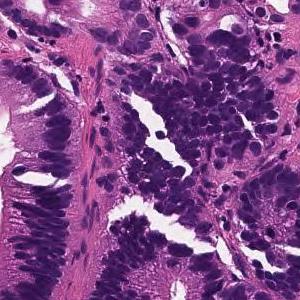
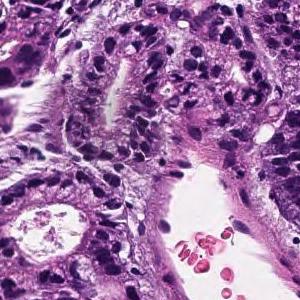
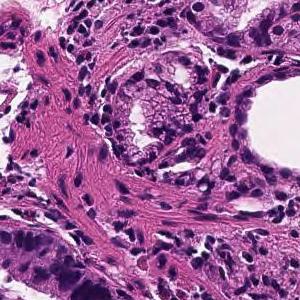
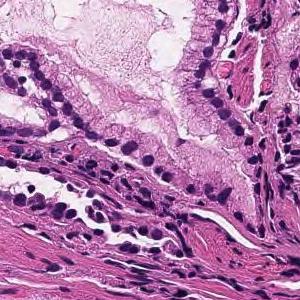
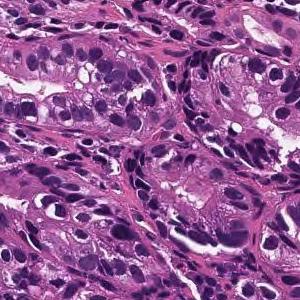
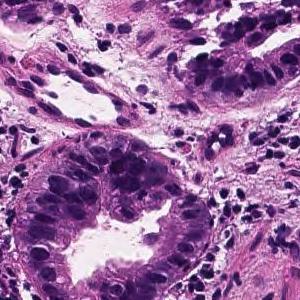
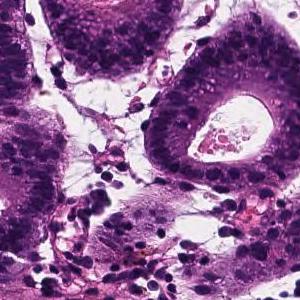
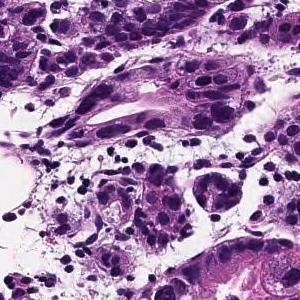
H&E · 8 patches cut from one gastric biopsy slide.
Report on the slide these tiles come from. The report and the diagnosis cover the entire slide, so not every feature they name need be visible here, and some tissue shown may not be tumor.
From the superficial epithelium to the muscularis mucosae, tumor tissue consisting of medium-sized and irregular glandular ducts infiltrating is observed. Well differentiated tubular adenocarcinoma
